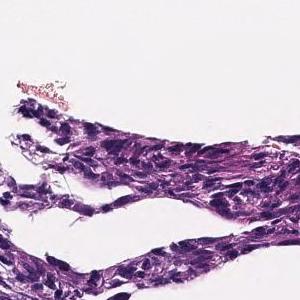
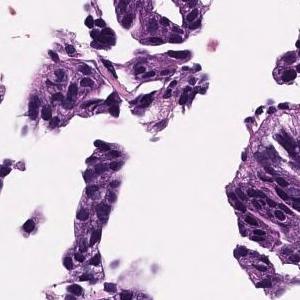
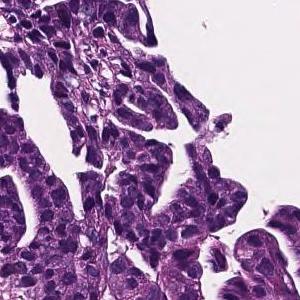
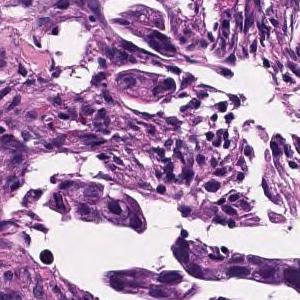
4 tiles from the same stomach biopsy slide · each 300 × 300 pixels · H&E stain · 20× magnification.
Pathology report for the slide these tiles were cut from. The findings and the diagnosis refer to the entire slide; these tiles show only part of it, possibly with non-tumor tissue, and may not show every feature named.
In the lamina propria, tumor tissue that invades by forming medium-sized to small, irregular glandular ducts is observed. moderately differentiated tubular adenocarcinoma
